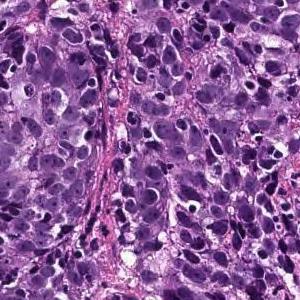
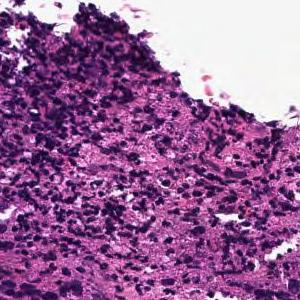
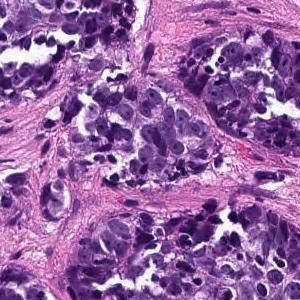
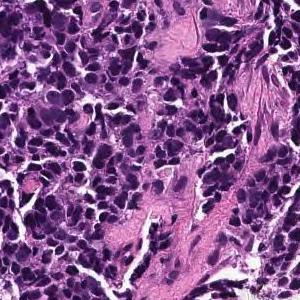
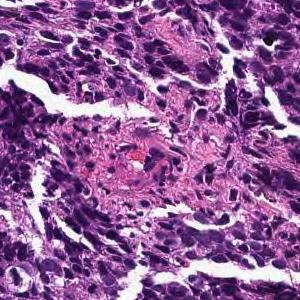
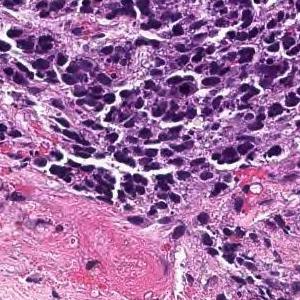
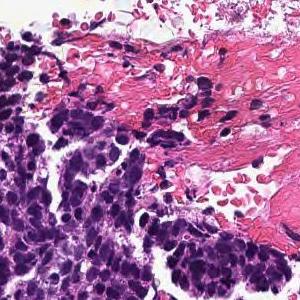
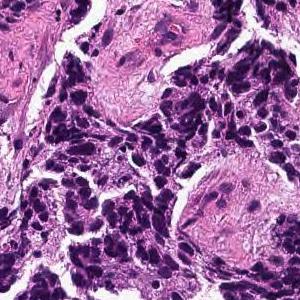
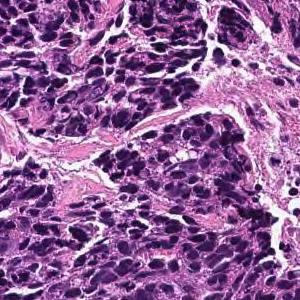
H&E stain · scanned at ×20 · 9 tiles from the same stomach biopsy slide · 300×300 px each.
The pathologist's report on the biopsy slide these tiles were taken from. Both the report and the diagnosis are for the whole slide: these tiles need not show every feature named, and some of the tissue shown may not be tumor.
The superficial epithelium shows a large sheet or alveolar shape, and tumor tissue infiltrating without irregular ducts is observed. Poorly differentiated adenocarcinoma, solid-type
Tumor subtype: poorly differentiated adenocarcinoma, solid type (Japanese Classification of Gastric Carcinoma). The WHO 2019 equivalent is tubular adenocarcinoma, poorly differentiated.
